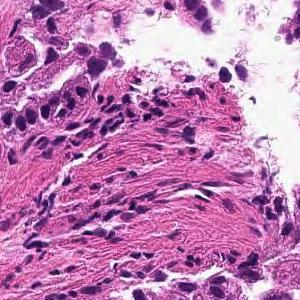
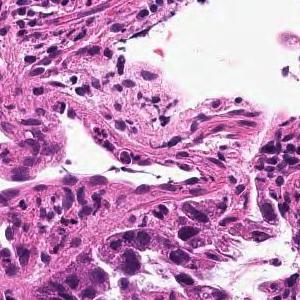
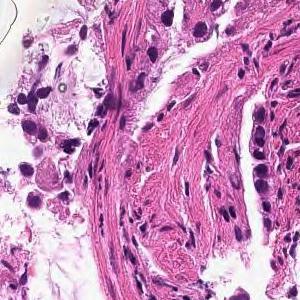
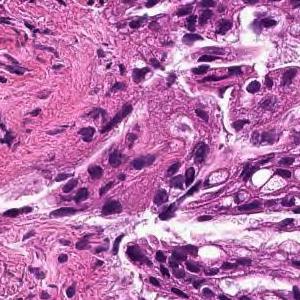
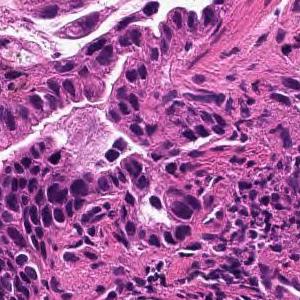
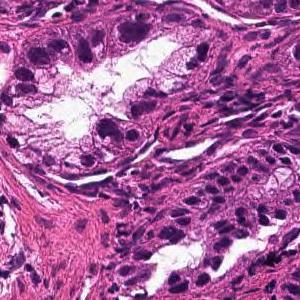
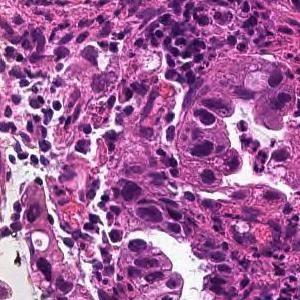
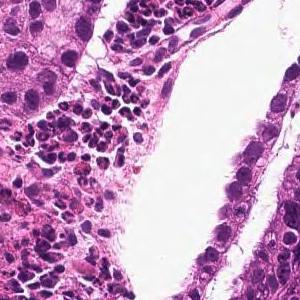
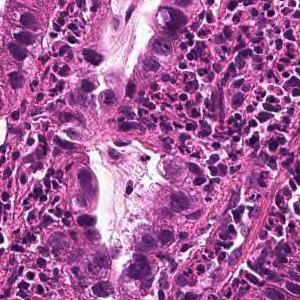
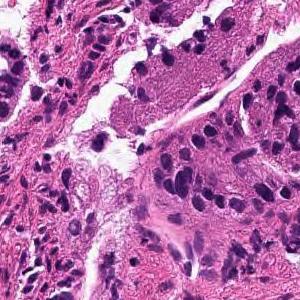
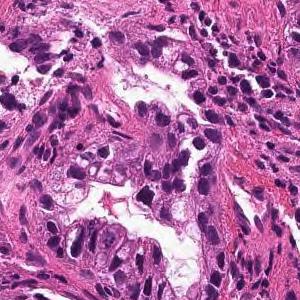
H&E; 20× magnification; 11 patches cut from one gastric biopsy slide; 300 × 300 pixels each.
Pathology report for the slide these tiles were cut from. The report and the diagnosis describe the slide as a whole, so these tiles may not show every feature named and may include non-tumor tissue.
From the superficial epithelium to the muscularis mucosae, tumor tissue infiltrating by forming medium-sized irregular gland ducts is observed. Well differentiated tubular adenocarcinoma
